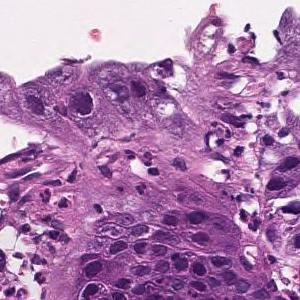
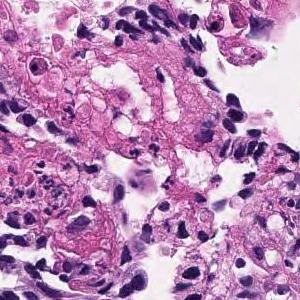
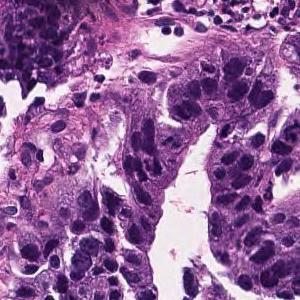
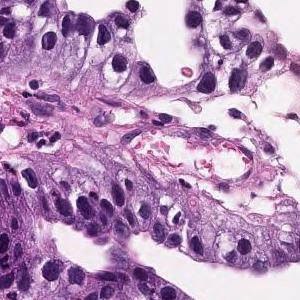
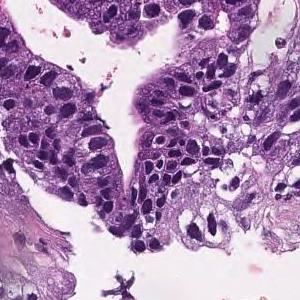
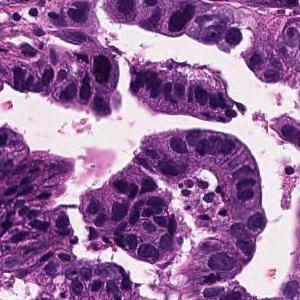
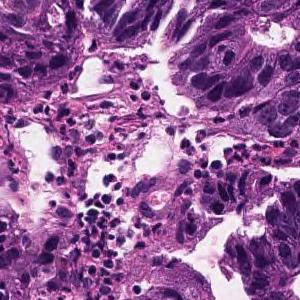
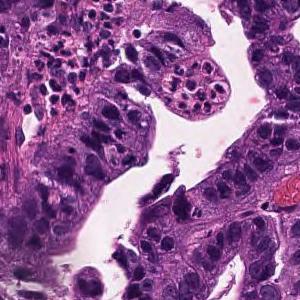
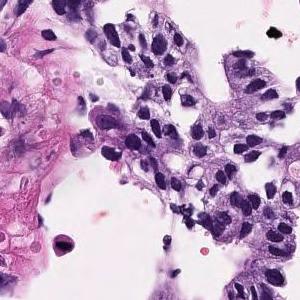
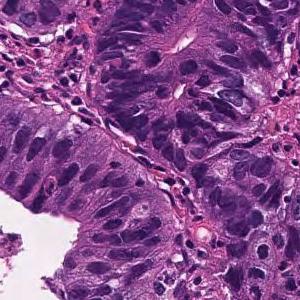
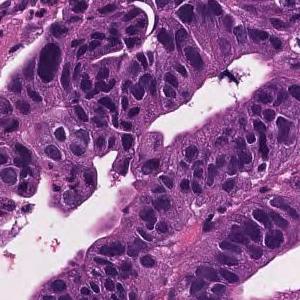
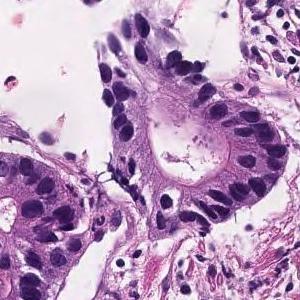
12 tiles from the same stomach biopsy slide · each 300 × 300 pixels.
Diagnostic report for the slide these tiles come from. The report and the diagnosis describe the slide as a whole, so these tiles may not show every feature named and may include non-tumor tissue.
Tumor cells are large, highly columnar, large club-shaped nuclei, and are associated with chromatin aggregation. Papillary adenocarcinoma.
